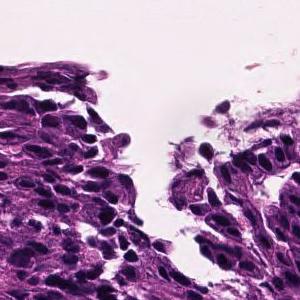
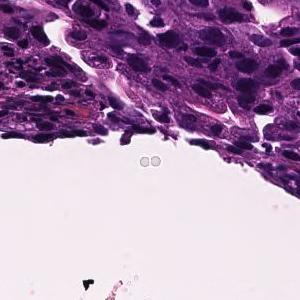
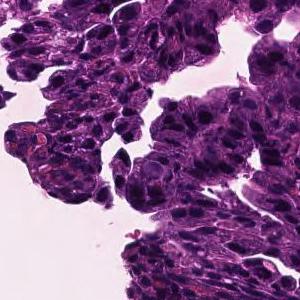
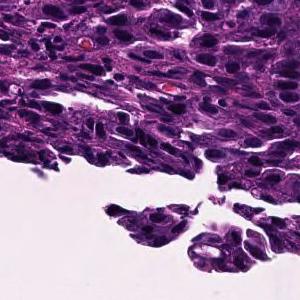
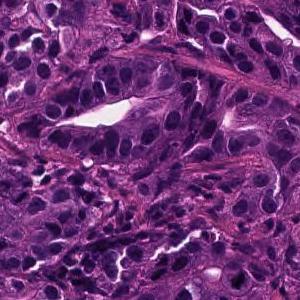
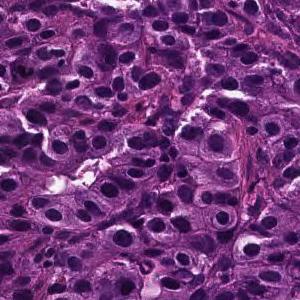
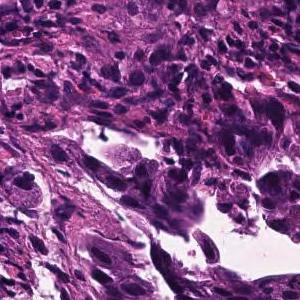
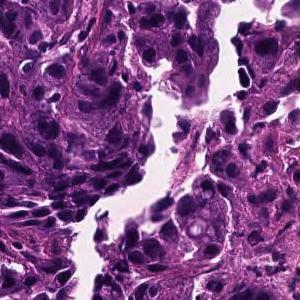
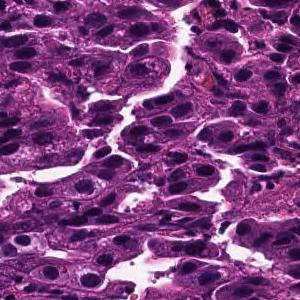
Scanned at ×20 · 9 tiles from the same stomach biopsy slide · 300 × 300 pixels each.
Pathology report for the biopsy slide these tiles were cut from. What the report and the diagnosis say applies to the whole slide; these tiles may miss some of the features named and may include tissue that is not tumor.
Tumor tissue consisting of medium-sized, cord-like or irregular glandular fusion and infiltration is observed in the superficial epithelium. Poorly differentiated adenocarcinoma, non-solid type or moderately differentiated tubular adenocarcinoma
Histological subtype: Moderately to poorly differentiated adenocarcinoma.
"Non-solid type" is a category of the Japanese Classification of Gastric Carcinoma.
